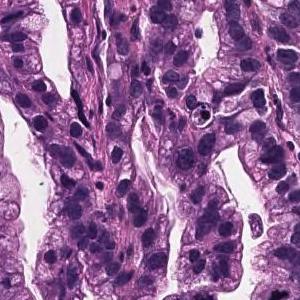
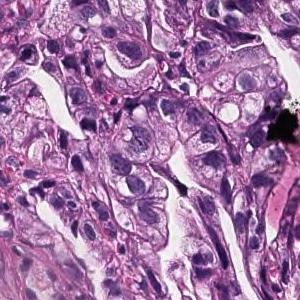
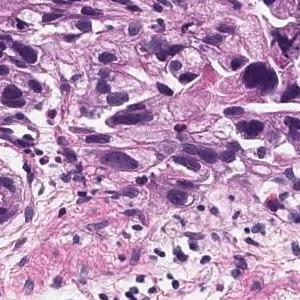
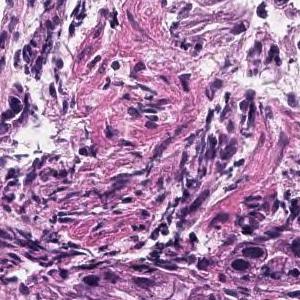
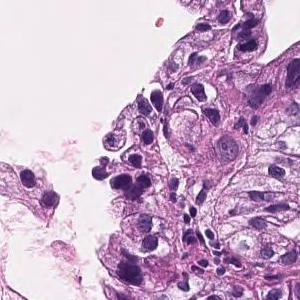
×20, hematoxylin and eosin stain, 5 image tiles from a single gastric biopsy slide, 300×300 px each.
Pathology report for the slide these tiles were cut from. The report and the diagnosis describe the slide as a whole, so these tiles may not show every feature named and may include non-tumor tissue.
Tumor cells are large, highly columnar, large club-shaped nuclei, and are associated with chromatin aggregation. Papillary adenocarcinoma.
